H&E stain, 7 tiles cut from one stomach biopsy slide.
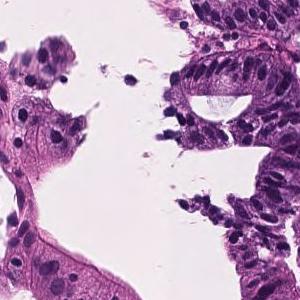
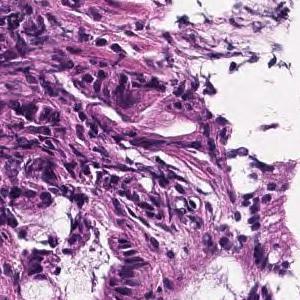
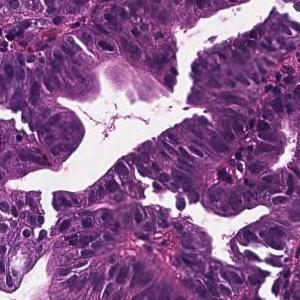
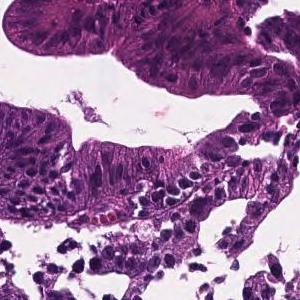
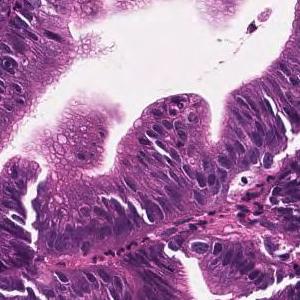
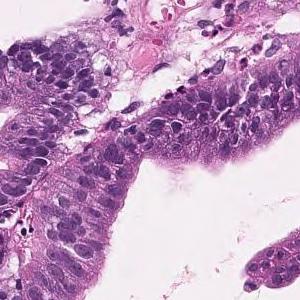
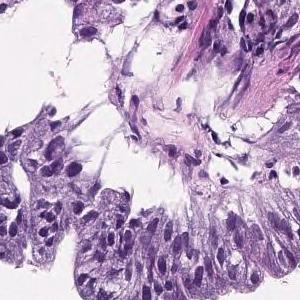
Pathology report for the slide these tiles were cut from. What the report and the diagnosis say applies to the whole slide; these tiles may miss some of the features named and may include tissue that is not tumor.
In the superficial epithelium, tumor tissue that invades by forming medium-sized to small, irregular ducts is observed. Well differentiated tubular adenocarcinoma.
